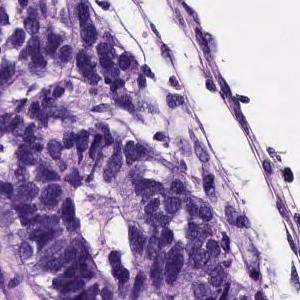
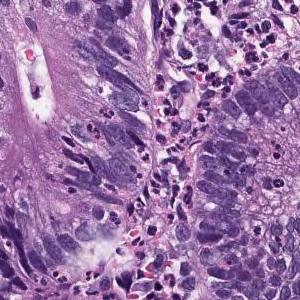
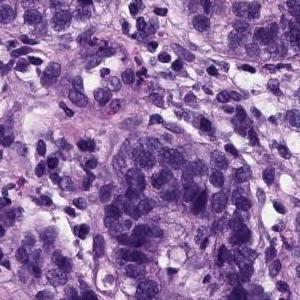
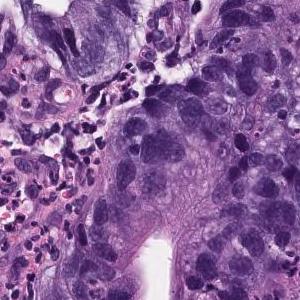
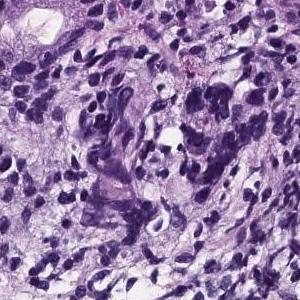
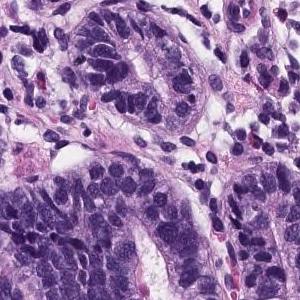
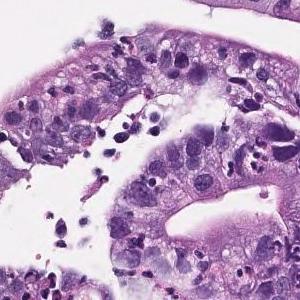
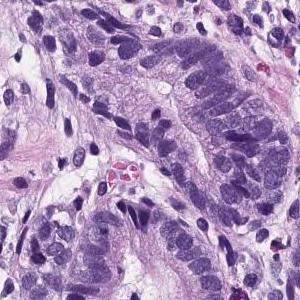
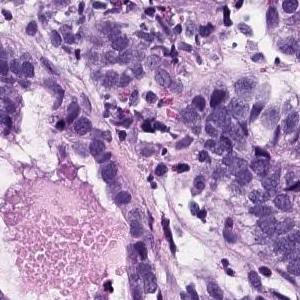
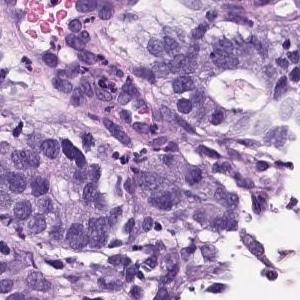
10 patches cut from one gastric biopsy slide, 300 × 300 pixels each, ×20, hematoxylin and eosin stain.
Pathology report for the biopsy slide these tiles were cut from. Both the report and the diagnosis are for the whole slide: these tiles need not show every feature named, and some of the tissue shown may not be tumor.
On the superficial epithelium, tumor tissue consisting of large, irregular glandular ducts partially fused and infiltrated is observed. Well to moderately differentiated tubular adenocarcinoma (well differentiated tubular adenocarcinoma, moderately differentiated tubular adenocarcinoma)
The dataset labels this slide well differentiated tubular adenocarcinoma.
